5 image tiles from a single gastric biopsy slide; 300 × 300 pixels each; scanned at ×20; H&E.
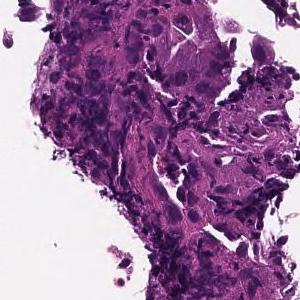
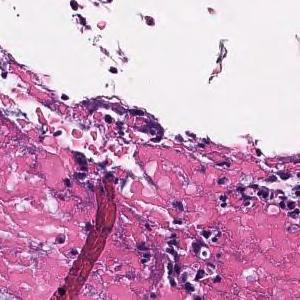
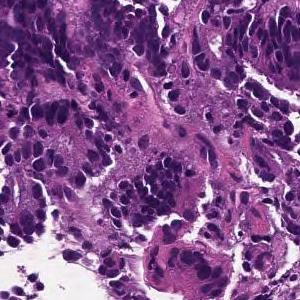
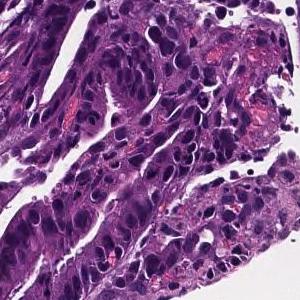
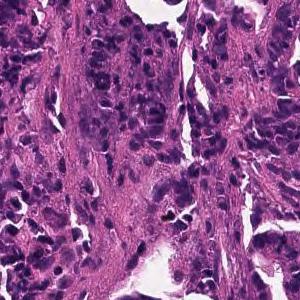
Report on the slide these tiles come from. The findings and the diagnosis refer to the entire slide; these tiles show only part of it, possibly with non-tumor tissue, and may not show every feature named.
On the superficial epithelium, tumor tissue consisting of large irregular glandular ducts partially fused and infiltrated is observed. Well to moderately differentiated tubular adenocarcinoma (well differentiated tubular adenocarcinoma, moderately differentiated tubular adenocarcinoma)
Histologic type: Well to moderately differentiated tubular adenocarcinoma.
